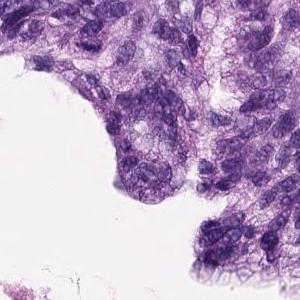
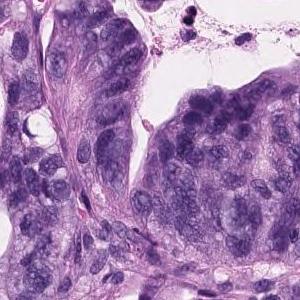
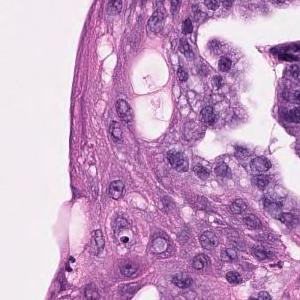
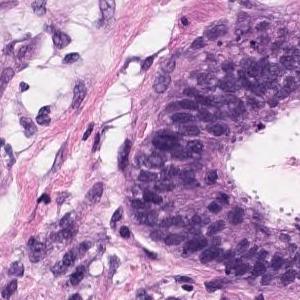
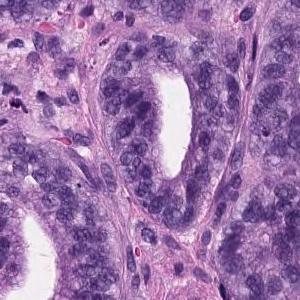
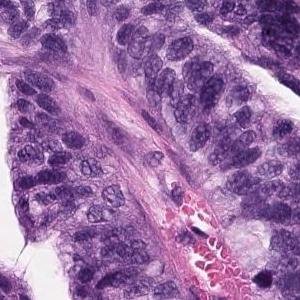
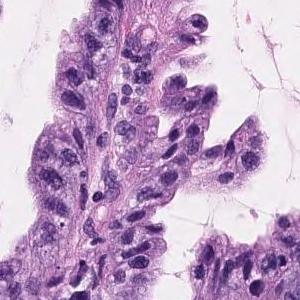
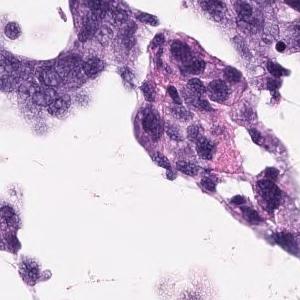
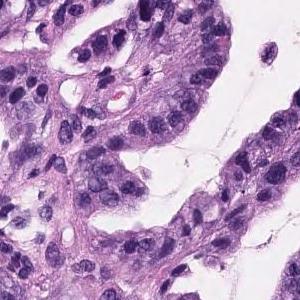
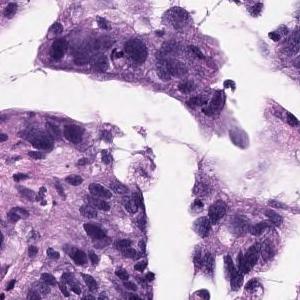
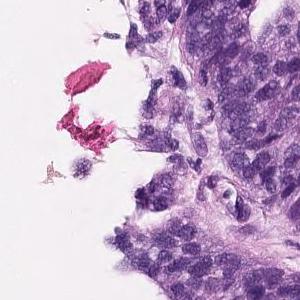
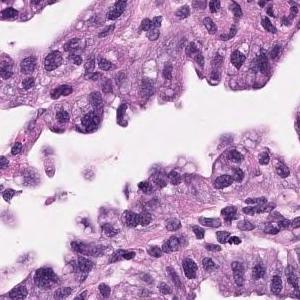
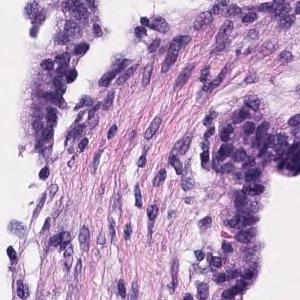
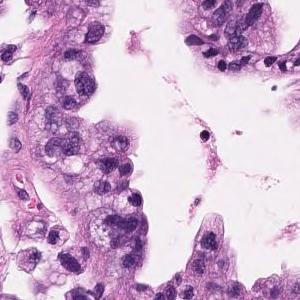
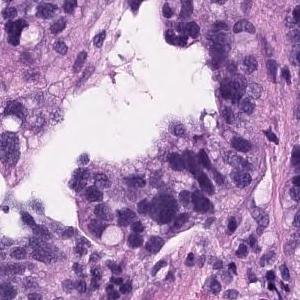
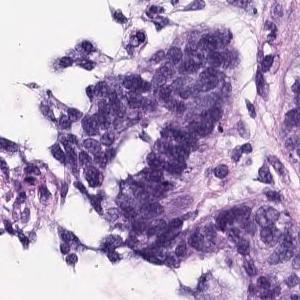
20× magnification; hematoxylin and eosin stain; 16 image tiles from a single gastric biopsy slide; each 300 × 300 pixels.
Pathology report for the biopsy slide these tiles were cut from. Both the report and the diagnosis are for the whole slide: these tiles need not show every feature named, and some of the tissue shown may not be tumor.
Tumor cells are large, highly columnar, large club-shaped nuclei, and are associated with chromatin aggregation. Papillary adenocarcinoma.
